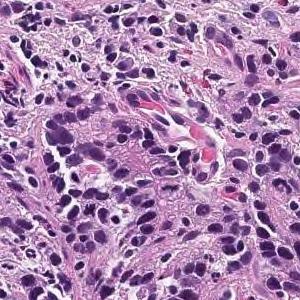
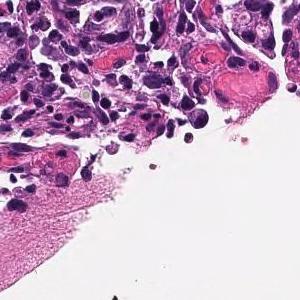
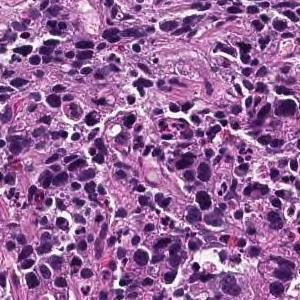
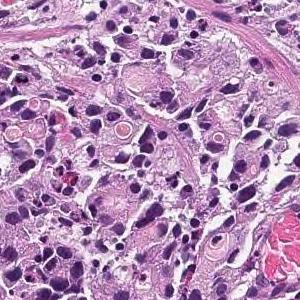
4 patches cut from one gastric biopsy slide · 300×300 px each · 20× magnification.
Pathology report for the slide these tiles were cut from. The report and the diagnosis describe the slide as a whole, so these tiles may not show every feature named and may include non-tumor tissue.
Tumor tissue consisting of cord-like or small, irregular glandular ducts fused and infiltrated is observed in the superficial epithelium. Poorly differentiated adenocarcinoma, non-solid type
The term "non-solid type" comes from the Japanese Classification of Gastric Carcinoma.
